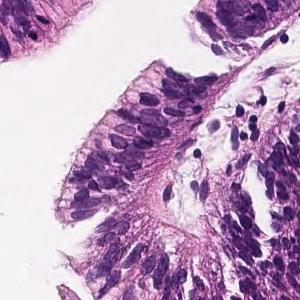
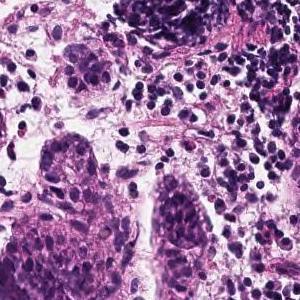
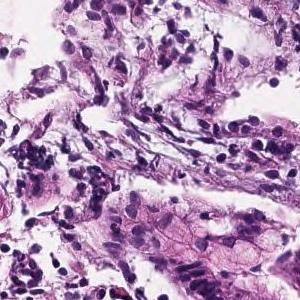
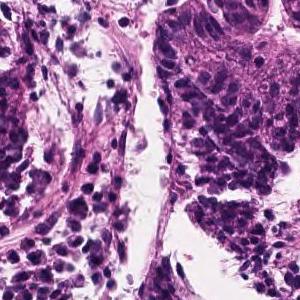
Hematoxylin and eosin stain; 4 patches cut from one gastric biopsy slide.
Report on the slide these tiles come from. The report and the diagnosis cover the entire slide, so not every feature they name need be visible here, and some tissue shown may not be tumor.
Tumor cells are large, highly columnar, large club-shaped nuclei, and are associated with chromatin aggregation. Papillary adenocarcinoma.
